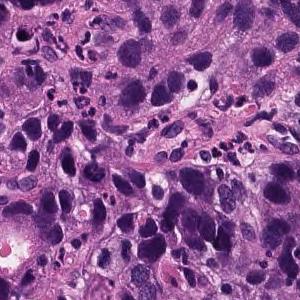
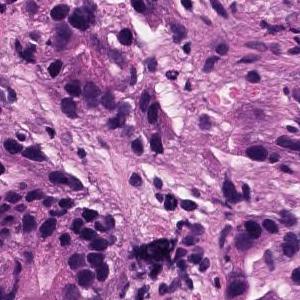
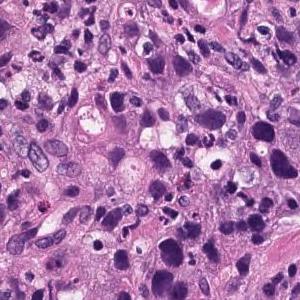
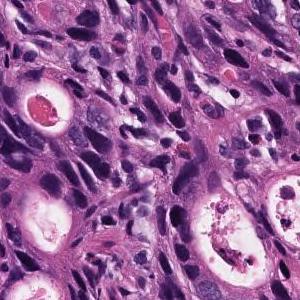
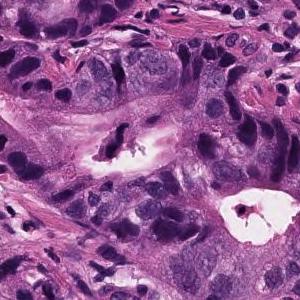
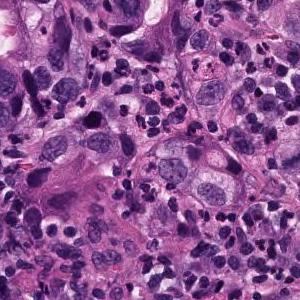
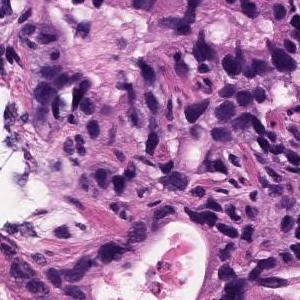
7 tiles cut from one stomach biopsy slide, 300 × 300 pixels each.
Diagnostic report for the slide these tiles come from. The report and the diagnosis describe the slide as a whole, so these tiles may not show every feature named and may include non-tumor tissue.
In the superficial epithelium, tumor tissue that invades by forming medium-sized to small, irregular ducts is observed. Moderately differentiated adenocarcinoma.
Tumor subtype: moderately differentiated tubular adenocarcinoma.
